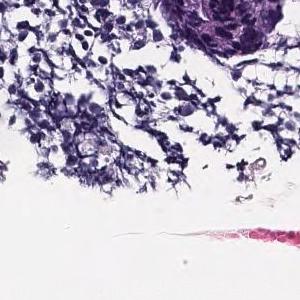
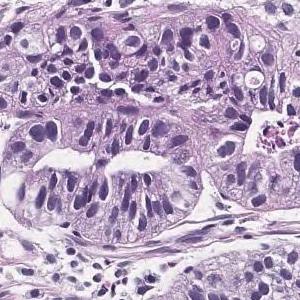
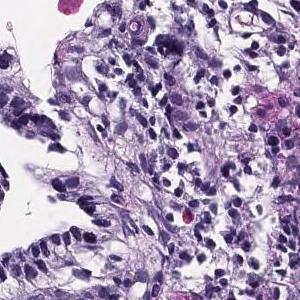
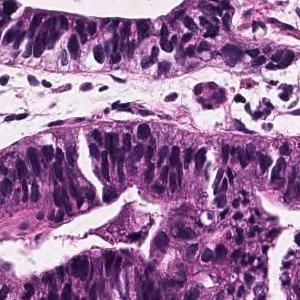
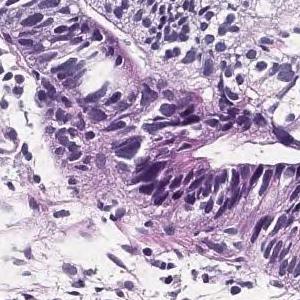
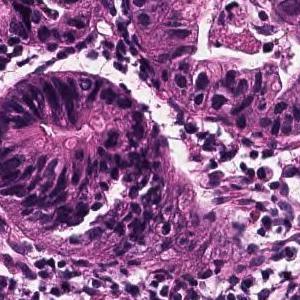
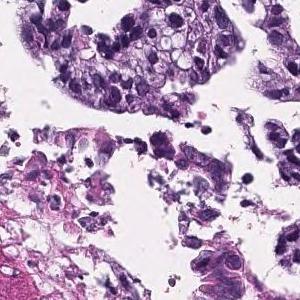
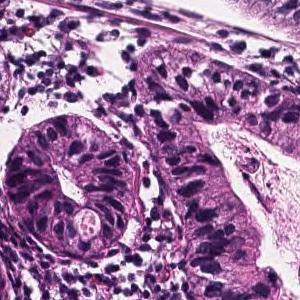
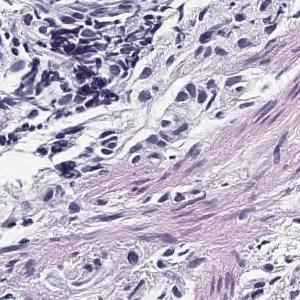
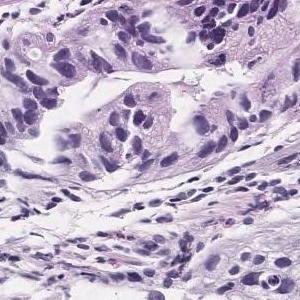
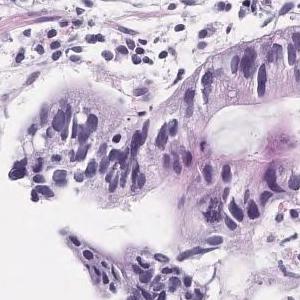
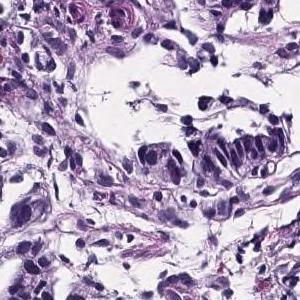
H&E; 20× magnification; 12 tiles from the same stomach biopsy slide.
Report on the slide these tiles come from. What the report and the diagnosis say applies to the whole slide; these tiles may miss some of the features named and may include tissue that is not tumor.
Tumor cells are large, highly columnar, large club-shaped nuclei, and are associated with chromatin aggregation. Papillary adenocarcinoma.
